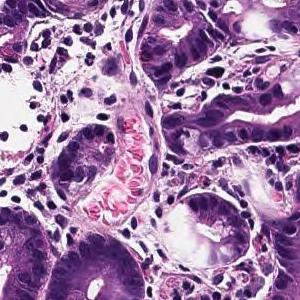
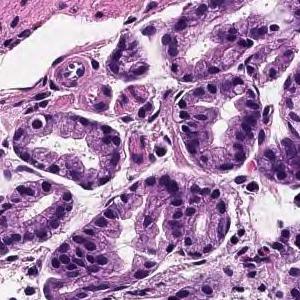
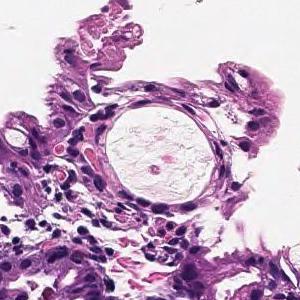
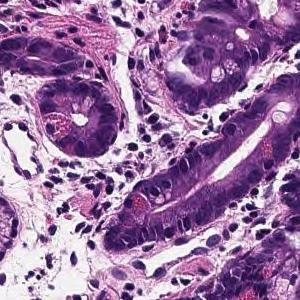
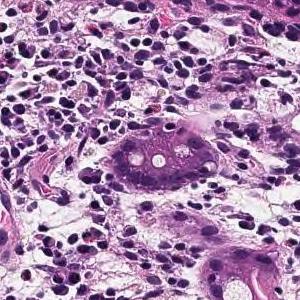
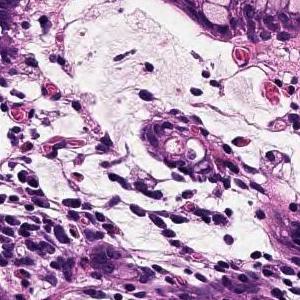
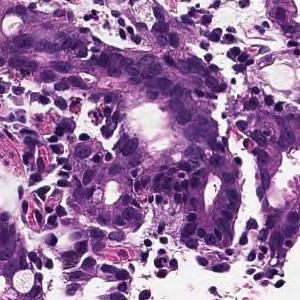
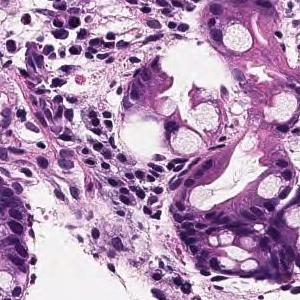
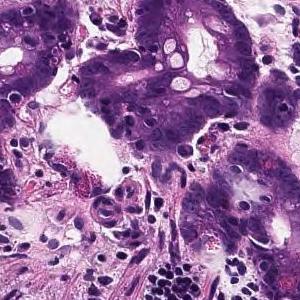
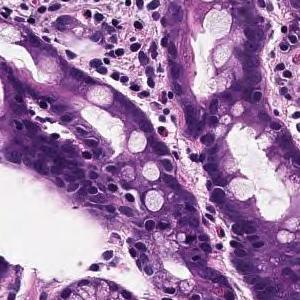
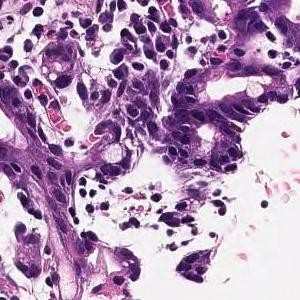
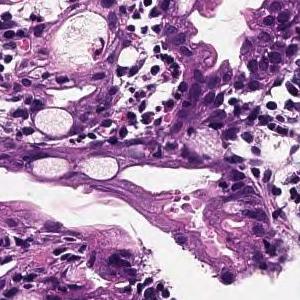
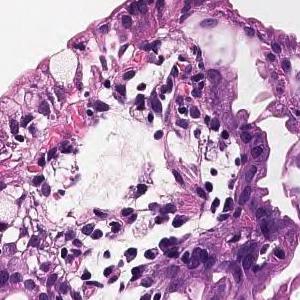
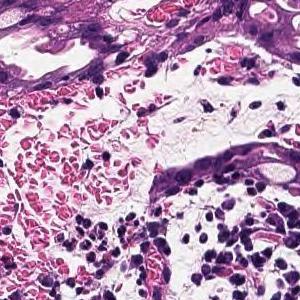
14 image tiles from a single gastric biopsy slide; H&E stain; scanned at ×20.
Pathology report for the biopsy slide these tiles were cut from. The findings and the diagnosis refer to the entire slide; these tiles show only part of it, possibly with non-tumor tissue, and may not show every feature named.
In the superficial epithelium, tumor tissue that invades by forming medium-sized to small, irregular ducts is observed. moderately differentiated tubular adenocarcinoma.
